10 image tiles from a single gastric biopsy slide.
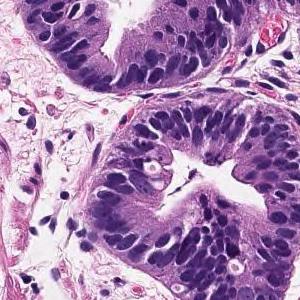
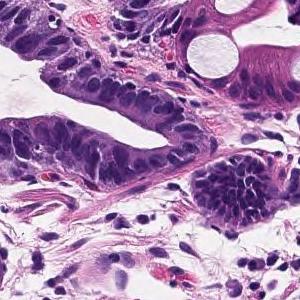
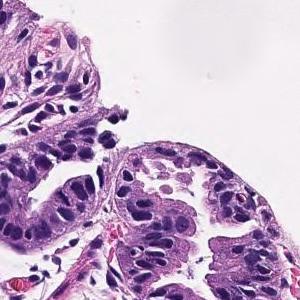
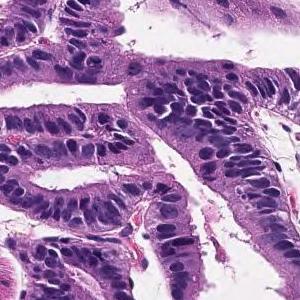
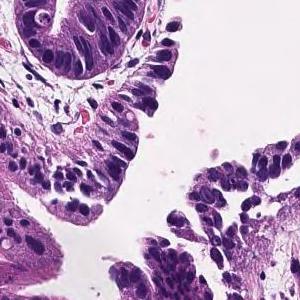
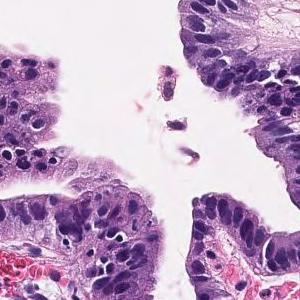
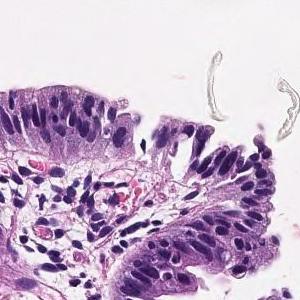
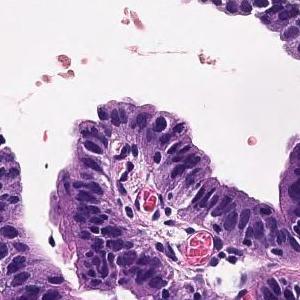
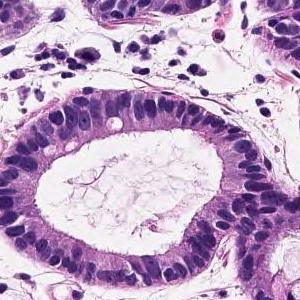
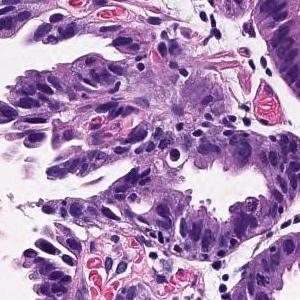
Diagnostic report for the slide these tiles come from. What the report and the diagnosis say applies to the whole slide; these tiles may miss some of the features named and may include tissue that is not tumor.
Tumor cells are large, highly columnar, large club-shaped nuclei, and are associated with chromatin aggregation. Papillary adenocarcinoma.
